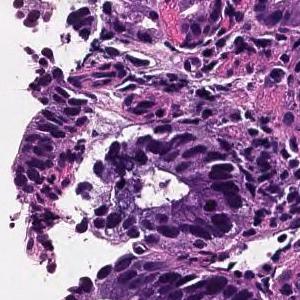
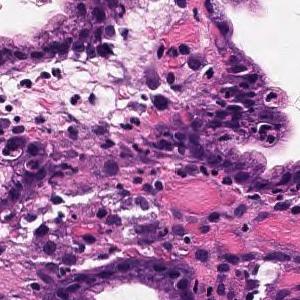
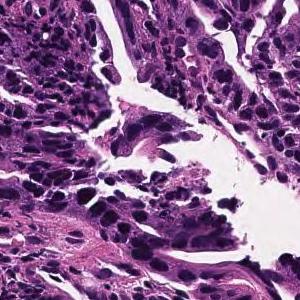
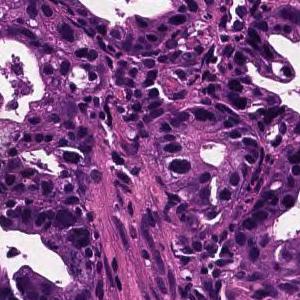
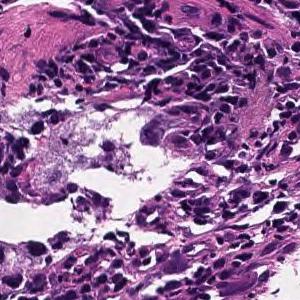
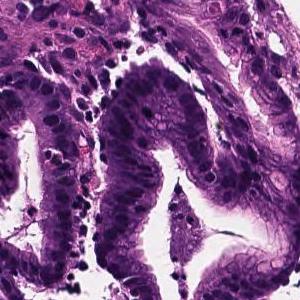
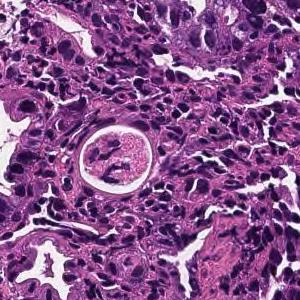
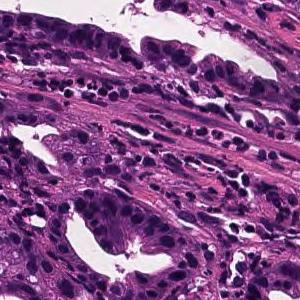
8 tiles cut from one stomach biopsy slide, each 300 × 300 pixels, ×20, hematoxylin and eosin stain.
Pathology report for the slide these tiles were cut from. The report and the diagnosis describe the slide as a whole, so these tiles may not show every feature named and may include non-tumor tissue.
From the superficial epithelium to the muscularis mucosae, tumor tissue consisting of medium-sized and irregular glandular ducts infiltrating is observed. Well differentiated tubular adenocarcinoma
